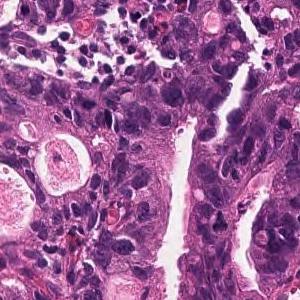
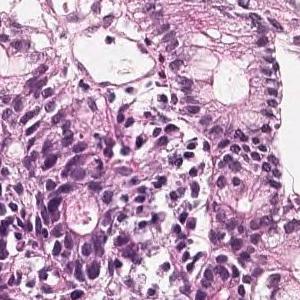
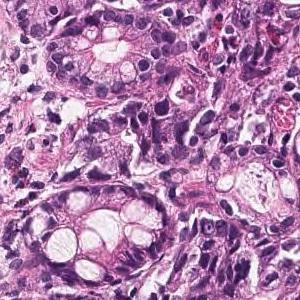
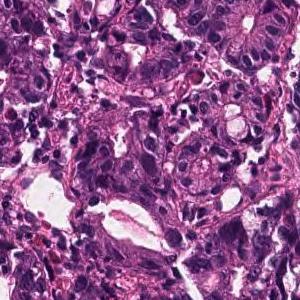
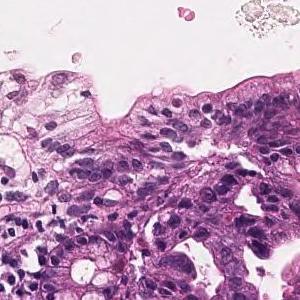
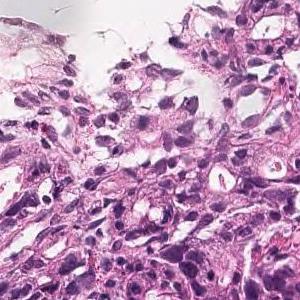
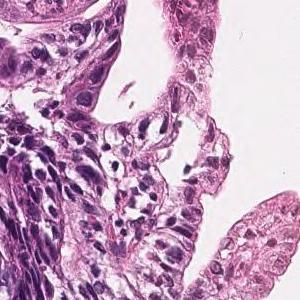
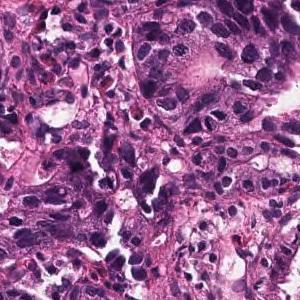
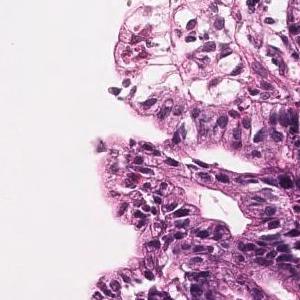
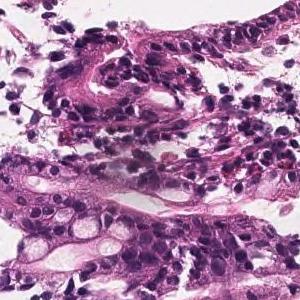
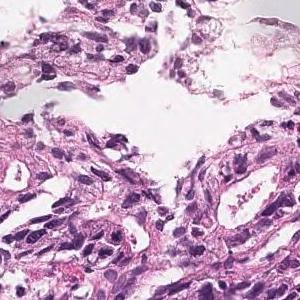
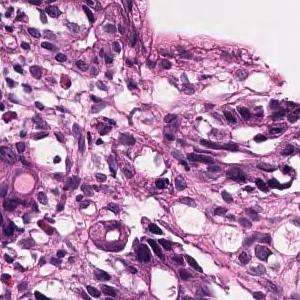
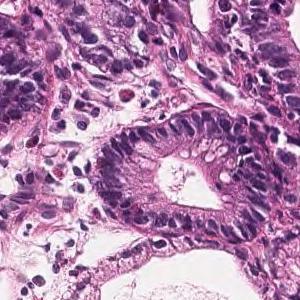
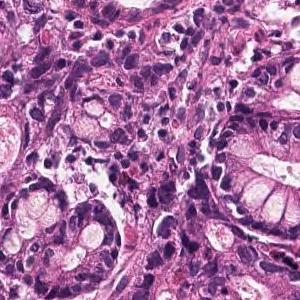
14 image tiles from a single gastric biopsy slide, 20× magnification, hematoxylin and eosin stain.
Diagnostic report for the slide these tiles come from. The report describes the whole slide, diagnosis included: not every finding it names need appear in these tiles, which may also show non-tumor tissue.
On the superficial epithelium, tumor tissue consisting of large, irregular glandular ducts partially fused and infiltrated is observed. Well to moderately differentiated tubular adenocarcinoma (well differentiated tubular adenocarcinoma, moderately differentiated tubular adenocarcinoma)
Tumor subtype: well to moderately differentiated tubular adenocarcinoma.
